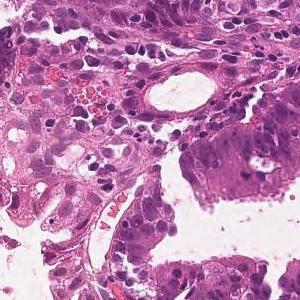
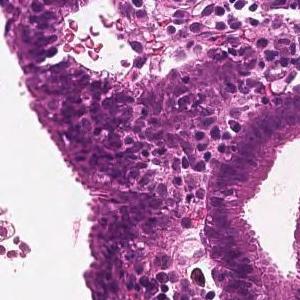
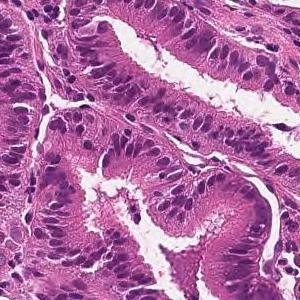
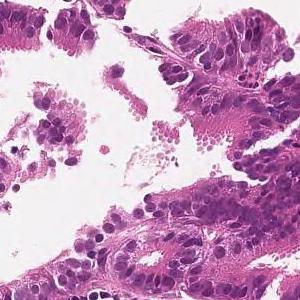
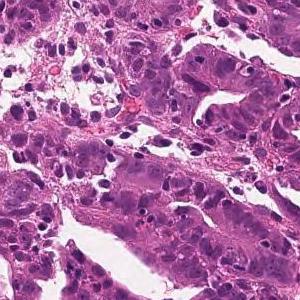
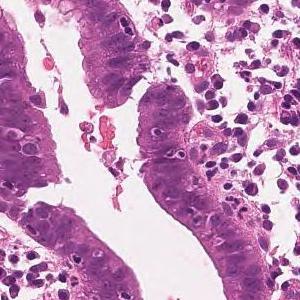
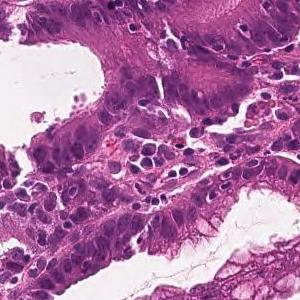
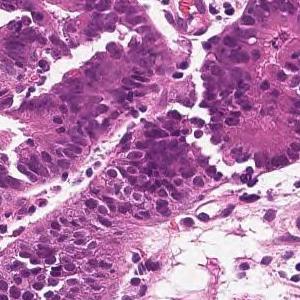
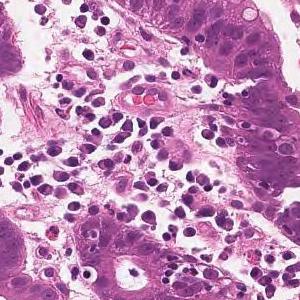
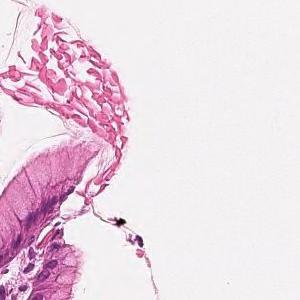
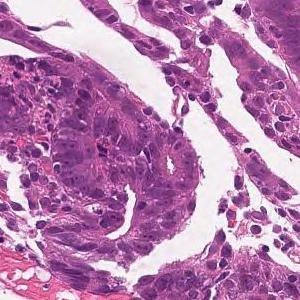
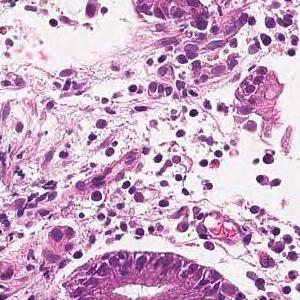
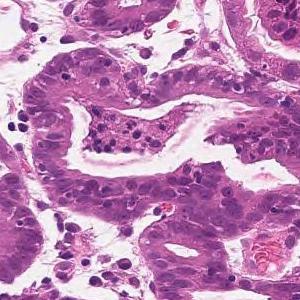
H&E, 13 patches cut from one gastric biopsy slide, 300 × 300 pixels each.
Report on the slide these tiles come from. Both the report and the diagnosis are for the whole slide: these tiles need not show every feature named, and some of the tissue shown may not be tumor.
On the superficial epithelium, tumor tissue is found in which medium-sized irregular gland ducts fuse with each other and infiltrate. moderately differentiated tubular adenocarcinoma
